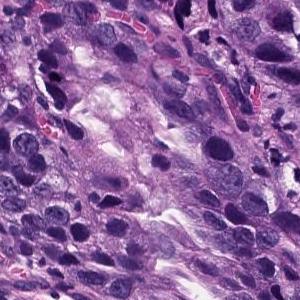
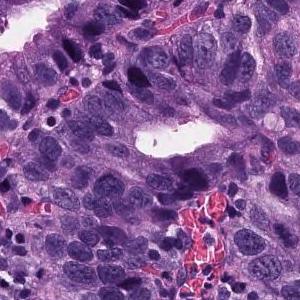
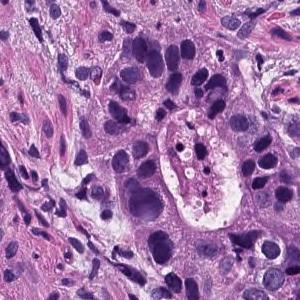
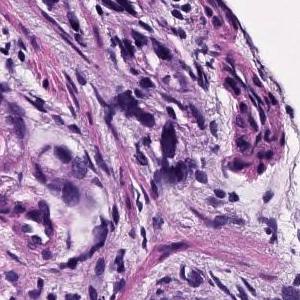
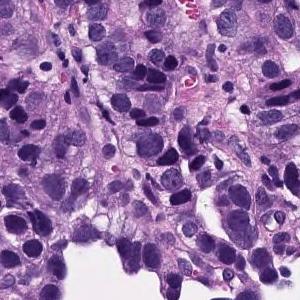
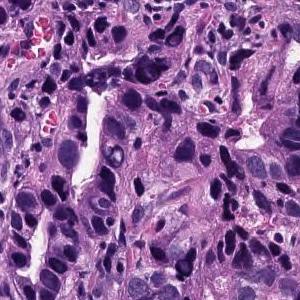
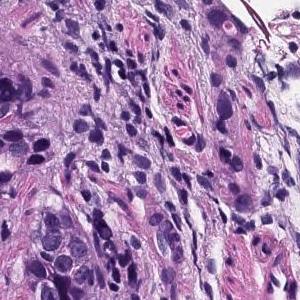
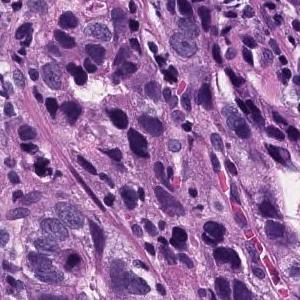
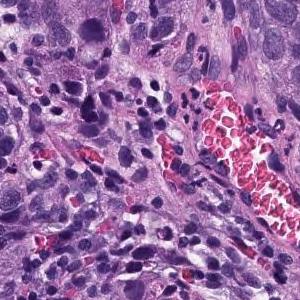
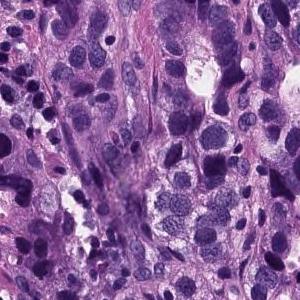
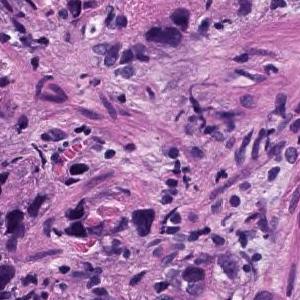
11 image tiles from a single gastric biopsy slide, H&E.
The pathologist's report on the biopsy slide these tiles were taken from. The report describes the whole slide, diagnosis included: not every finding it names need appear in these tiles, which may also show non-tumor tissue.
In the epithelium, tumor tissue in which medium to small irregular gland ducts fuse with each other and infiltrate the submucosa. moderately differentiated tubular adenocarcinoma
